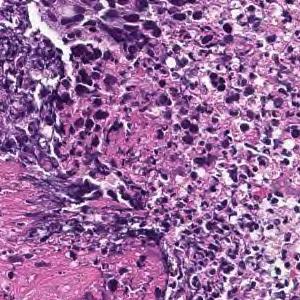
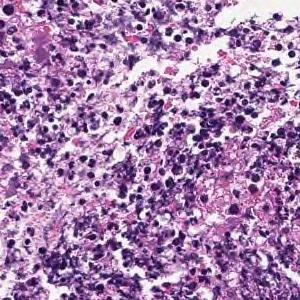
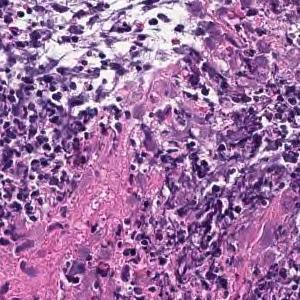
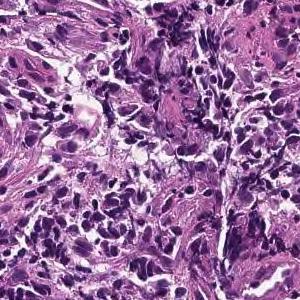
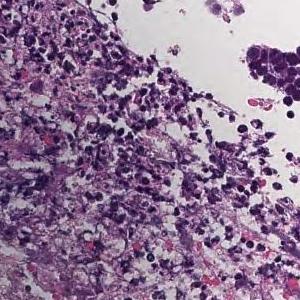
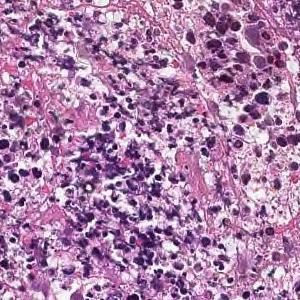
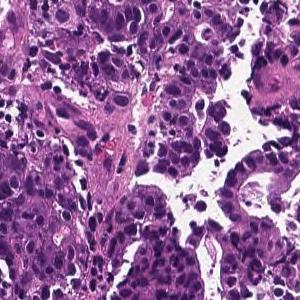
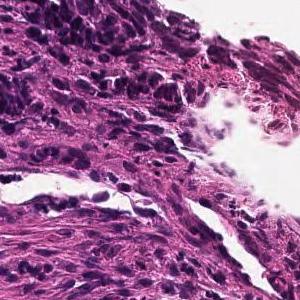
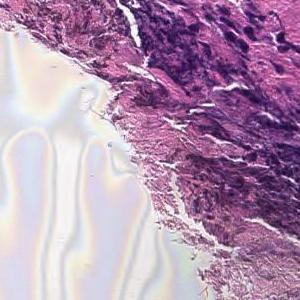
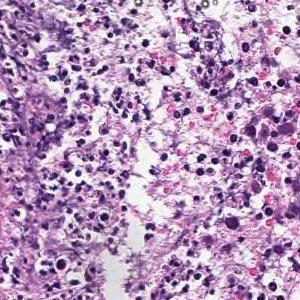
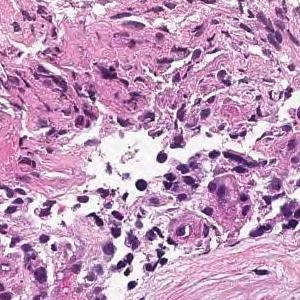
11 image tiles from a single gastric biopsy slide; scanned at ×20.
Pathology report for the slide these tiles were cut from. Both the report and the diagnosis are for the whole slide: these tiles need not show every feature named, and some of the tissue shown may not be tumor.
In the superficial epithelium, tumor tissue that invades by forming medium-sized to small, irregular ducts is observed. moderately differentiated tubular adenocarcinoma.
